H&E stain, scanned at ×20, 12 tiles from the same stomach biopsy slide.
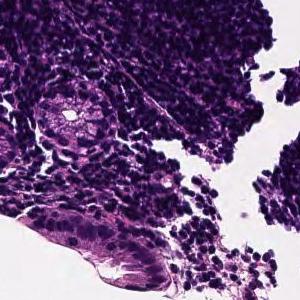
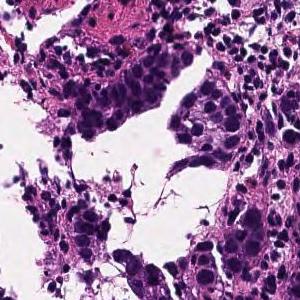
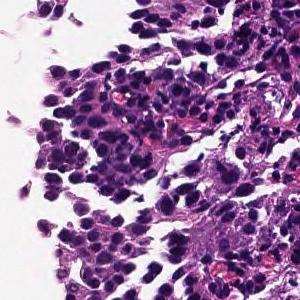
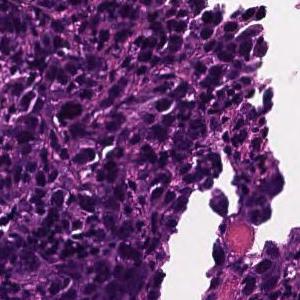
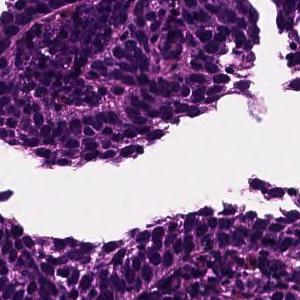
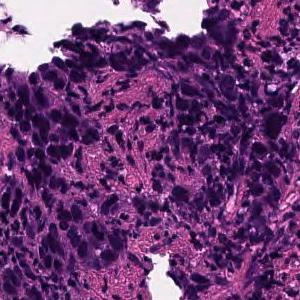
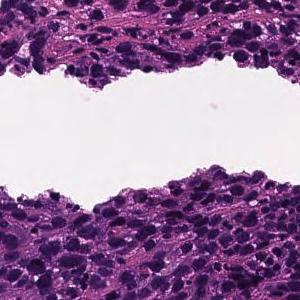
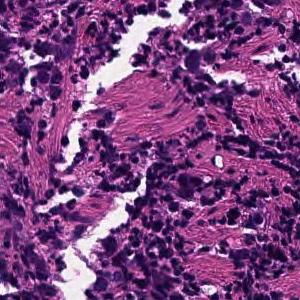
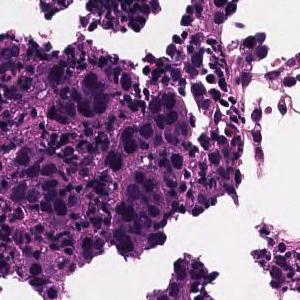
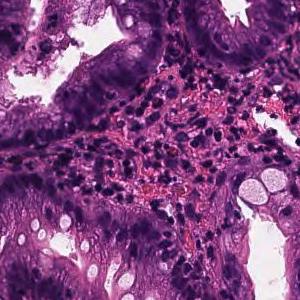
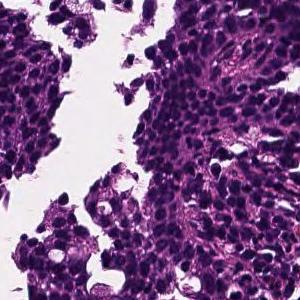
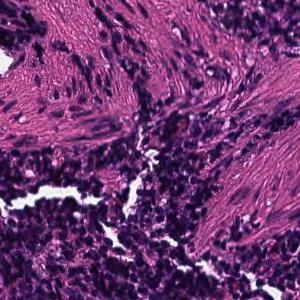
Diagnostic report for the slide these tiles come from. The report and the diagnosis describe the slide as a whole, so these tiles may not show every feature named and may include non-tumor tissue.
Tumor tissue consisting of cord-like or small, irregular glandular ducts fused and infiltrated is observed in the superficial epithelium. Poorly differentiated adenocarcinoma, non-solid type
"Non-solid type" is a category of the Japanese Classification of Gastric Carcinoma.
